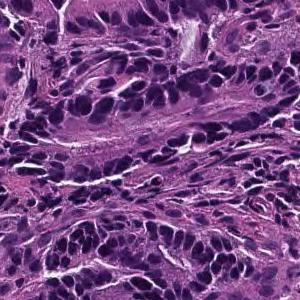
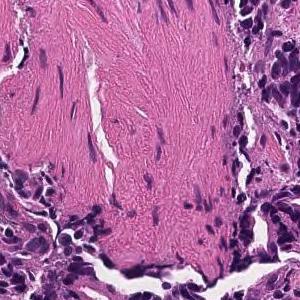
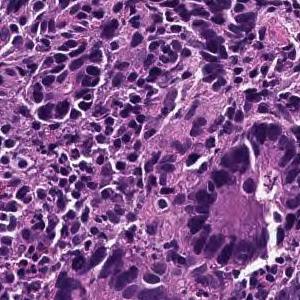
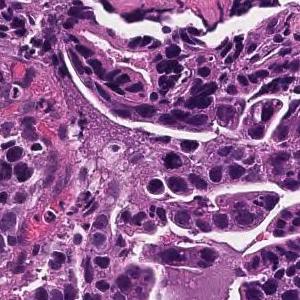
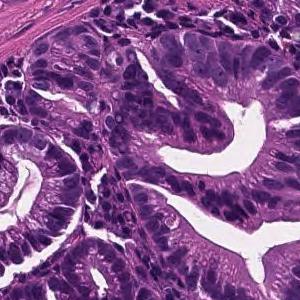
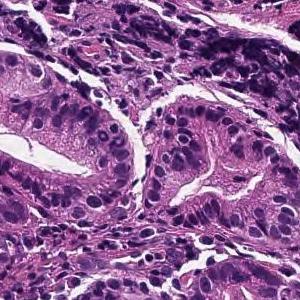
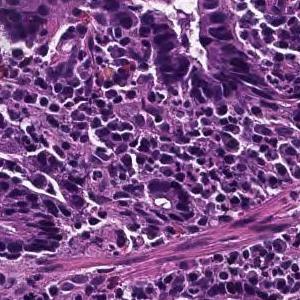
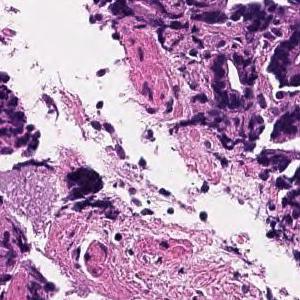
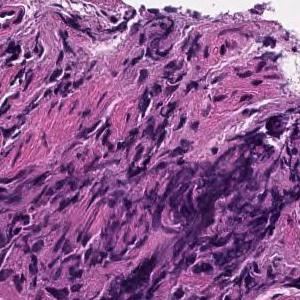
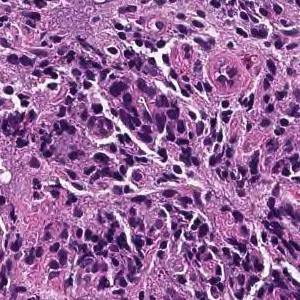
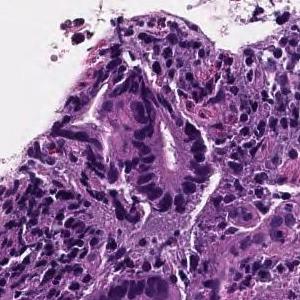
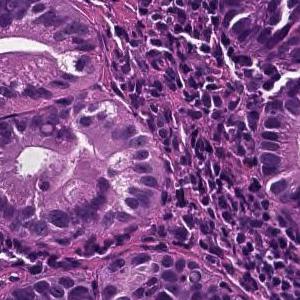
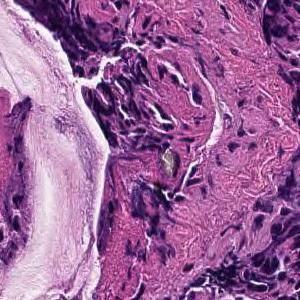
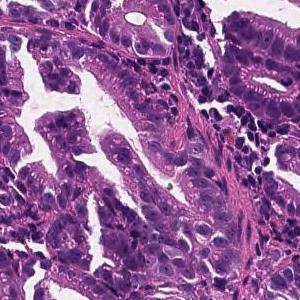
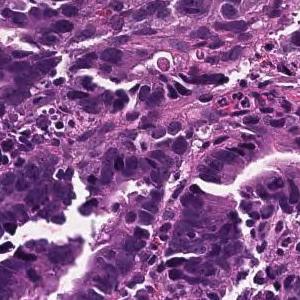
15 image tiles from a single gastric biopsy slide; 20× magnification; H&E stain.
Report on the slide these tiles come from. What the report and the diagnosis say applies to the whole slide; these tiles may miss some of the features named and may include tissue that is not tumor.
On the superficial epithelium, tumor tissue consisting of large irregular glandular ducts partially fused and infiltrated is observed. Well to moderately differentiated tubular adenocarcinoma (well differentiated tubular adenocarcinoma, moderately differentiated tubular adenocarcinoma)
Subtype: Well to moderately differentiated tubular adenocarcinoma.
